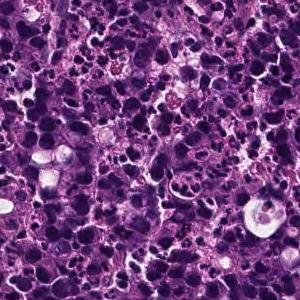
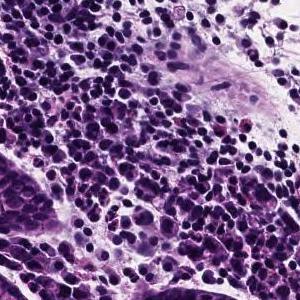
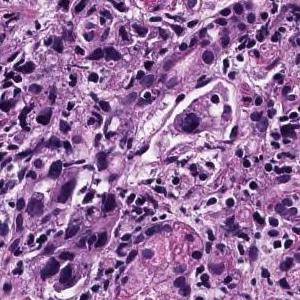
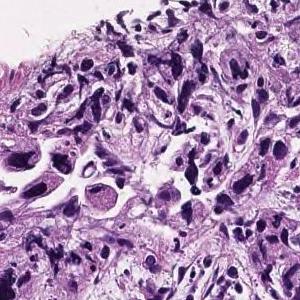
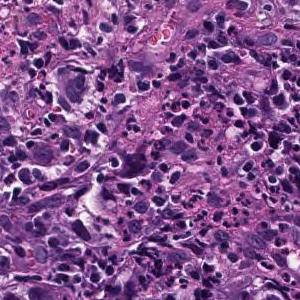
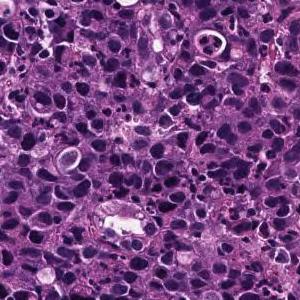
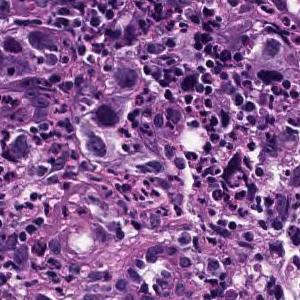
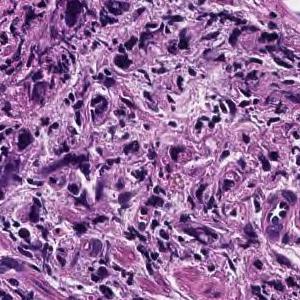
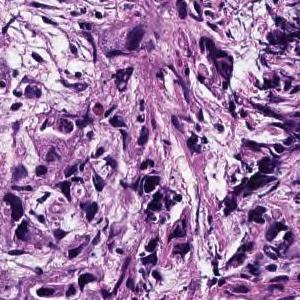
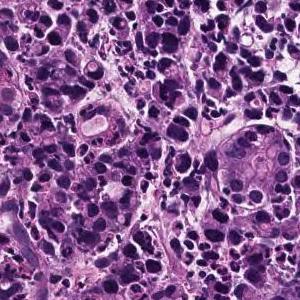
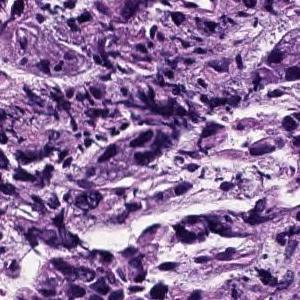
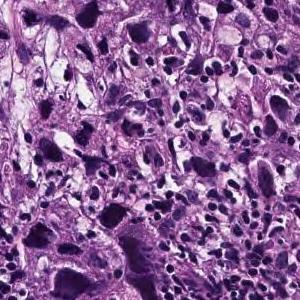
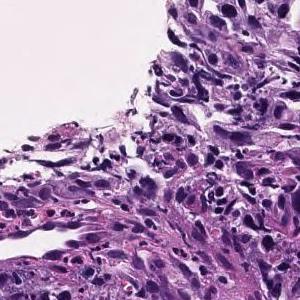
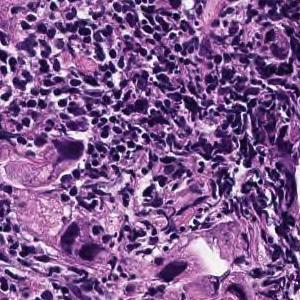
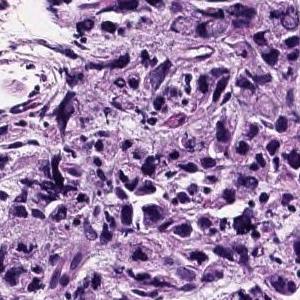
15 patches cut from one gastric biopsy slide, 300×300 px each, scanned at ×20.
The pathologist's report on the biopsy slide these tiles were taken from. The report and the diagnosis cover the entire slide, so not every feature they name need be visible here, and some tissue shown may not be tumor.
The superficial epithelium shows a large sheet-like shape, and some tumor tissue infiltrates with small irregular ducts. Poorly differentiated adenocarcinoma, solid-type
Subtype: Poorly differentiated adenocarcinoma, solid type, a category of the Japanese Classification of Gastric Carcinoma; in the WHO 2019 classification it is tubular adenocarcinoma, poorly differentiated.
